6 patches cut from one gastric biopsy slide; 20× magnification.
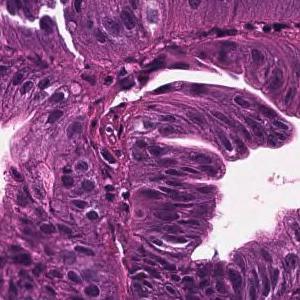
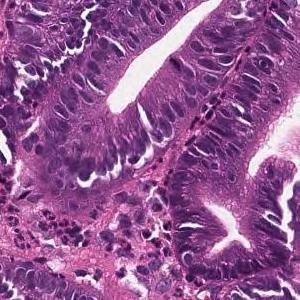
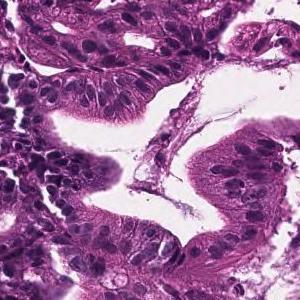
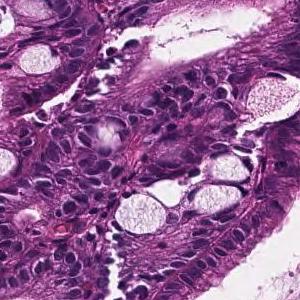
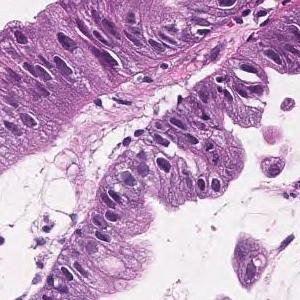
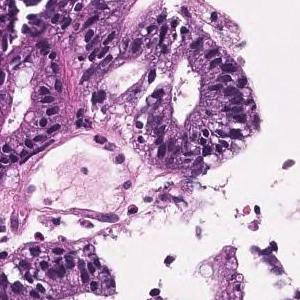
The pathologist's report on the biopsy slide these tiles were taken from. Both the report and the diagnosis are for the whole slide: these tiles need not show every feature named, and some of the tissue shown may not be tumor.
In the superficial epithelium, tumor tissue that invades by forming medium-sized to small, irregular ducts is observed. Well differentiated tubular adenocarcinoma.
